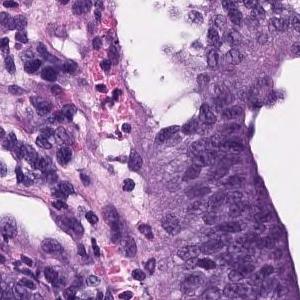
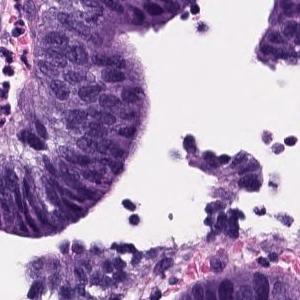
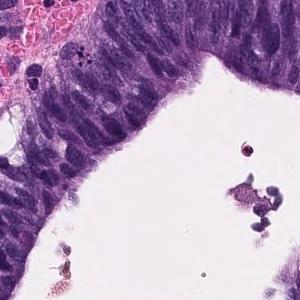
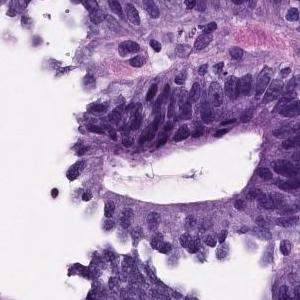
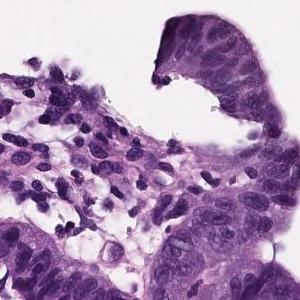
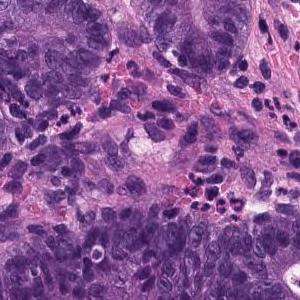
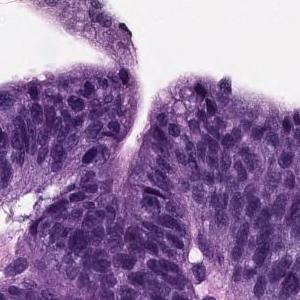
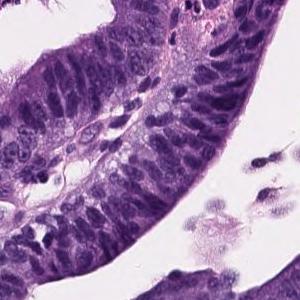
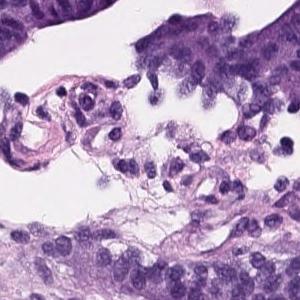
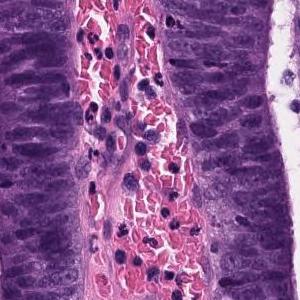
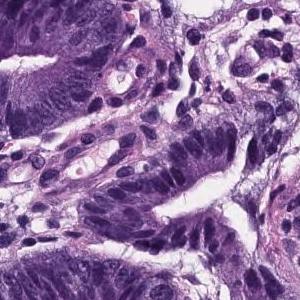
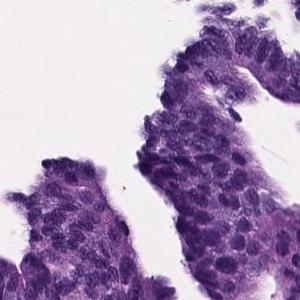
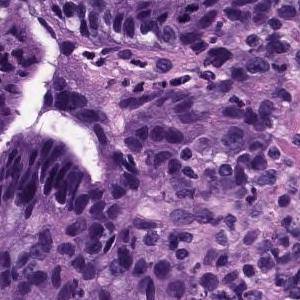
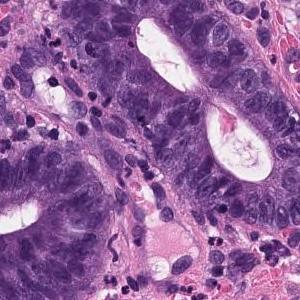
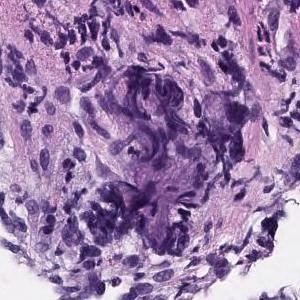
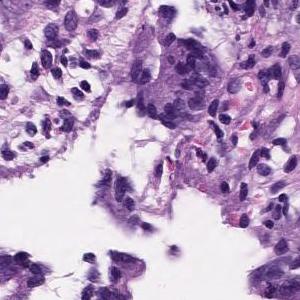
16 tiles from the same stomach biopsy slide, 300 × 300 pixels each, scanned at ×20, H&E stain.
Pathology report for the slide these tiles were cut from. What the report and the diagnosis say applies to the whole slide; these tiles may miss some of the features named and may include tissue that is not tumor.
Papillo-tubular growth of atypical tubules with nuclear swelling is observed. Well differentiated tubular adenocarcinoma
